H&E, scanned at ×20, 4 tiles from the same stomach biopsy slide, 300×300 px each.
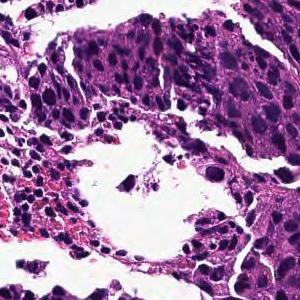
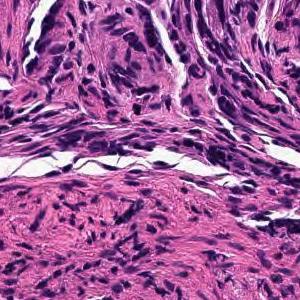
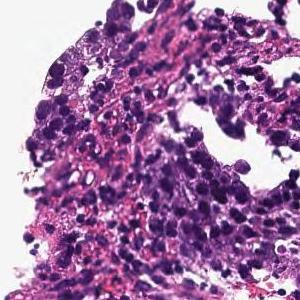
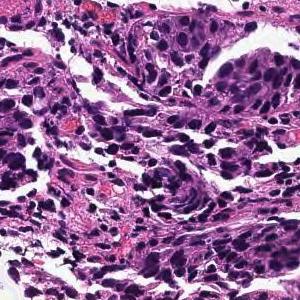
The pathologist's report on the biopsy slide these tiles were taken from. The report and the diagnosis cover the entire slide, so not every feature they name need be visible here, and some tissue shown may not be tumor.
In the superficial epithelium, tumor tissue that invades by forming medium-sized to small, irregular ducts is observed. moderately differentiated tubular adenocarcinoma.
